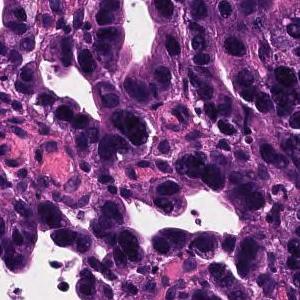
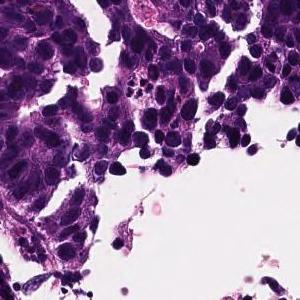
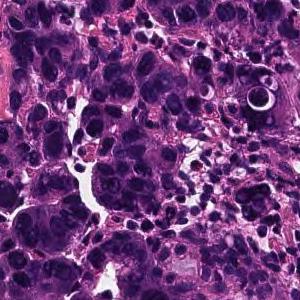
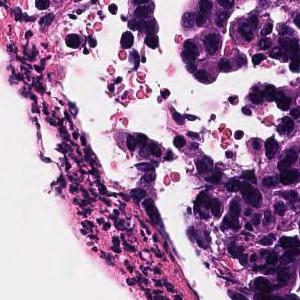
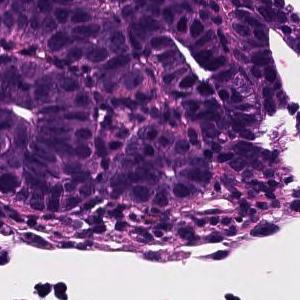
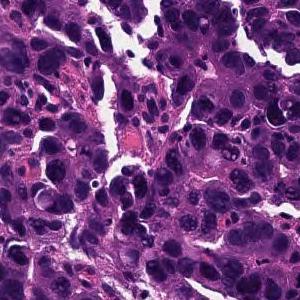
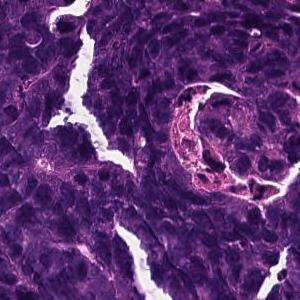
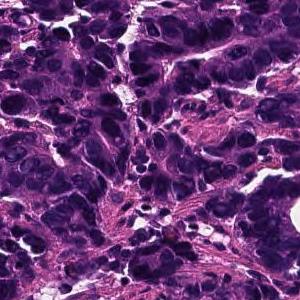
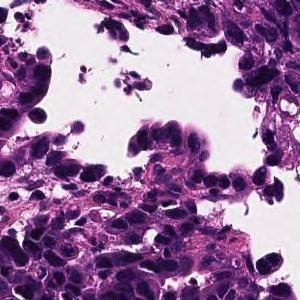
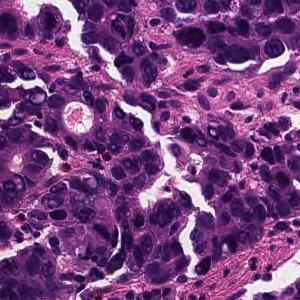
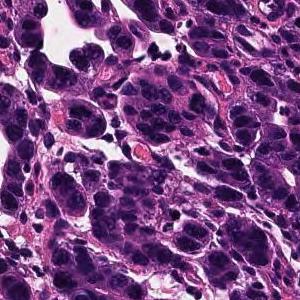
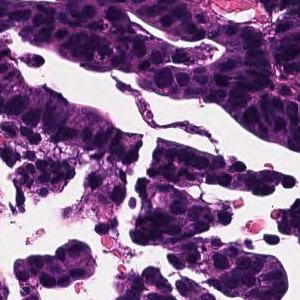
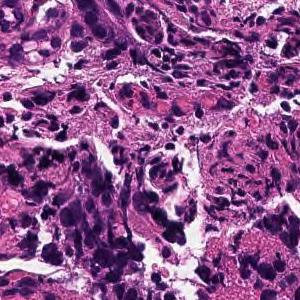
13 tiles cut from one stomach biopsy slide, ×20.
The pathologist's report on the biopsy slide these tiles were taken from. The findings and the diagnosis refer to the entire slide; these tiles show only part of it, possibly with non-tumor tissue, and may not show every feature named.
In the superficial epithelium, tumor tissue that invades by forming medium-sized to small, irregular ducts is observed. moderately differentiated tubular adenocarcinoma.
